Scanned at ×20; H&E stain; 4 patches cut from one gastric biopsy slide.
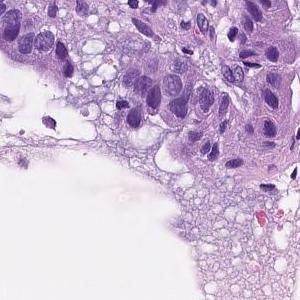
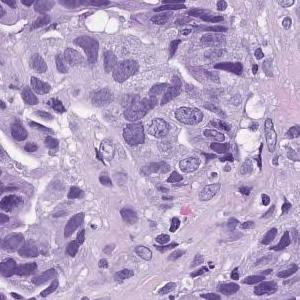
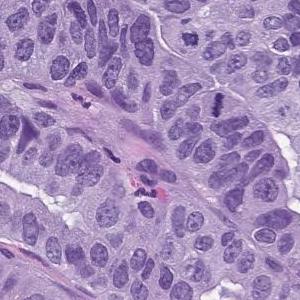
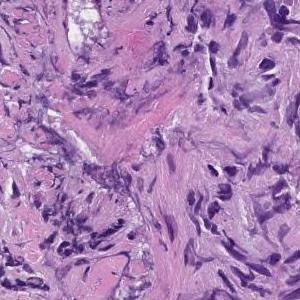
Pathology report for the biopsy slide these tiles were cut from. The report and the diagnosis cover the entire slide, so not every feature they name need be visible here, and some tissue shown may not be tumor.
In the superficial epithelium, tumor tissue that invades by forming medium-sized to small, irregular ducts is observed. moderately differentiated tubular adenocarcinoma.
